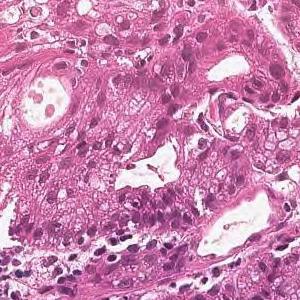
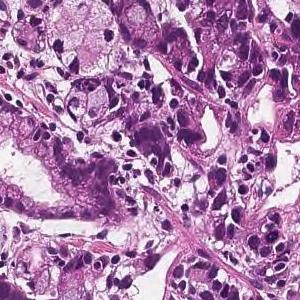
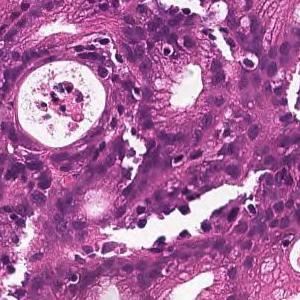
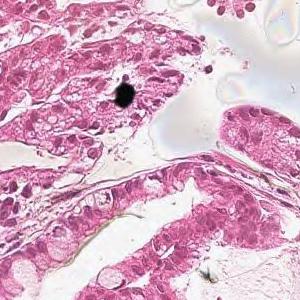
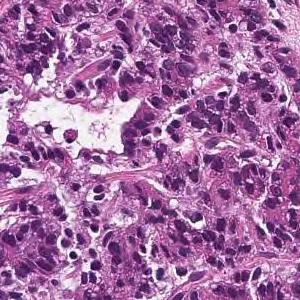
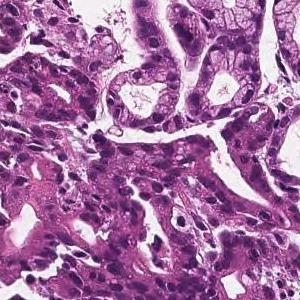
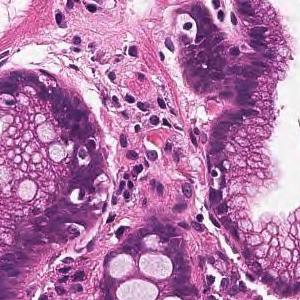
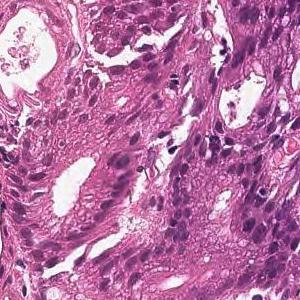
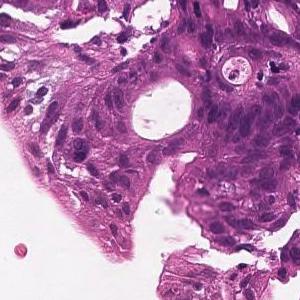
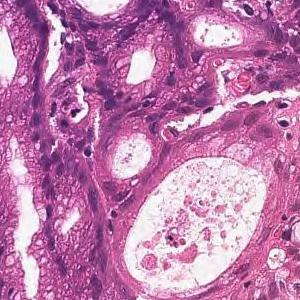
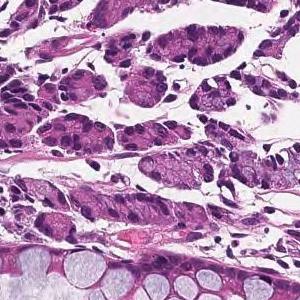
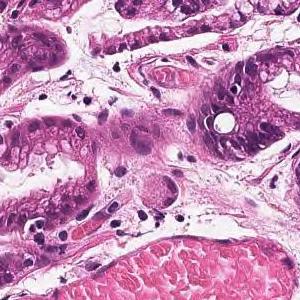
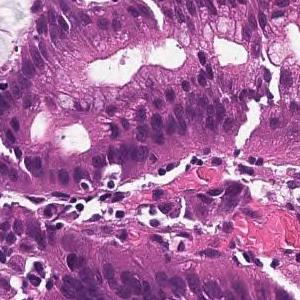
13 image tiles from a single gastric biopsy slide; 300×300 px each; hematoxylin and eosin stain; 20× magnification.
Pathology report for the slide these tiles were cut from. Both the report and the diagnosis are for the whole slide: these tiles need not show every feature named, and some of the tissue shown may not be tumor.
In the superficial epithelium, tumor tissue that invades by forming medium-sized to small, irregular ducts is observed. moderately differentiated tubular adenocarcinoma.
